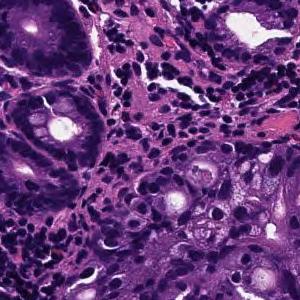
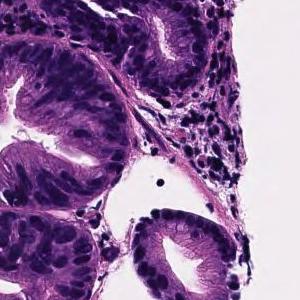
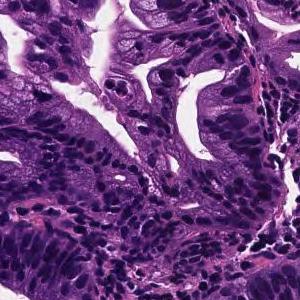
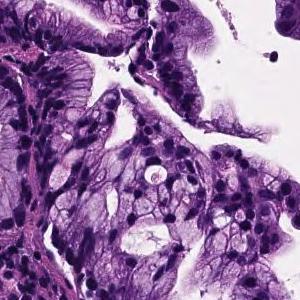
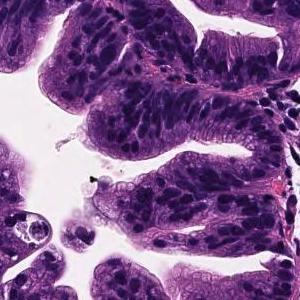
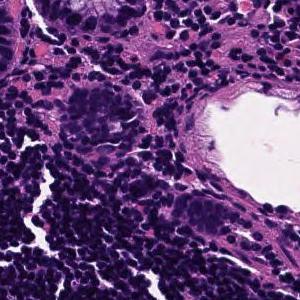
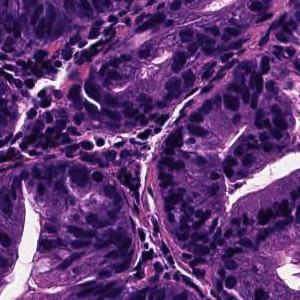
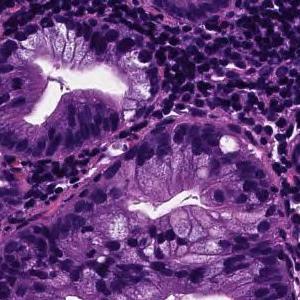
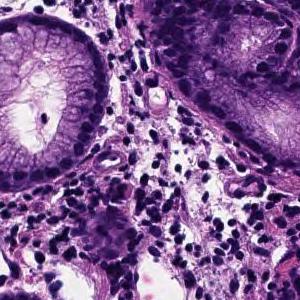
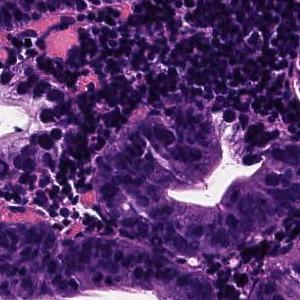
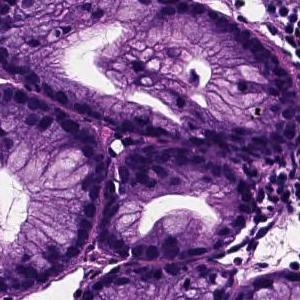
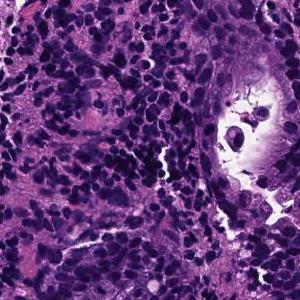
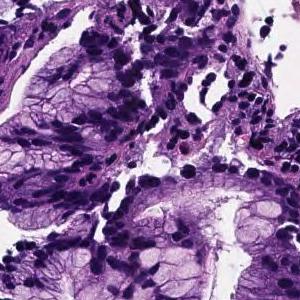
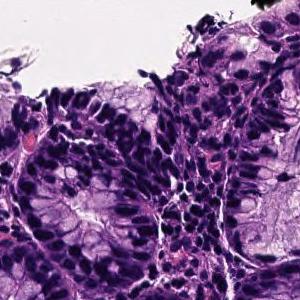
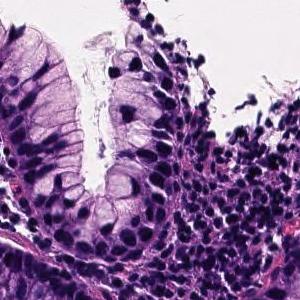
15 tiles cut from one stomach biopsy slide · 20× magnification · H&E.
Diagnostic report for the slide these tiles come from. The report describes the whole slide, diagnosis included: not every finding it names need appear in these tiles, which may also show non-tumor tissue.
On the superficial epithelium, tumor tissue that infiltrates by forming medium-sized papillary or small irregular ducts is observed. Papillary adenocarcinoma
